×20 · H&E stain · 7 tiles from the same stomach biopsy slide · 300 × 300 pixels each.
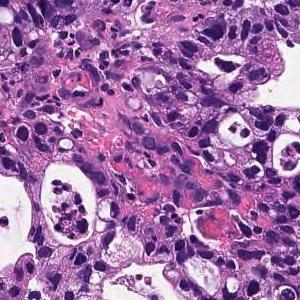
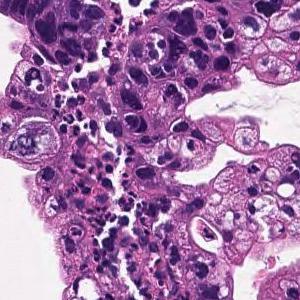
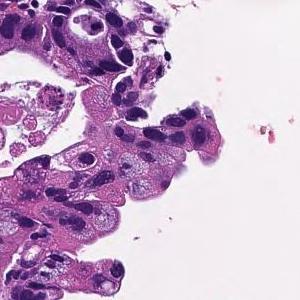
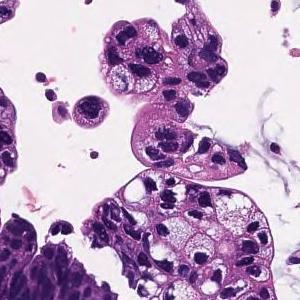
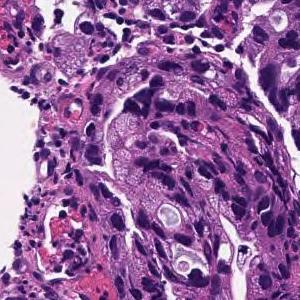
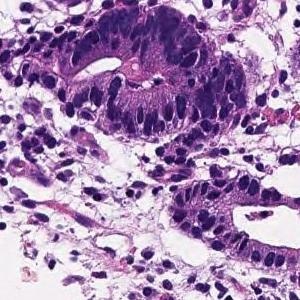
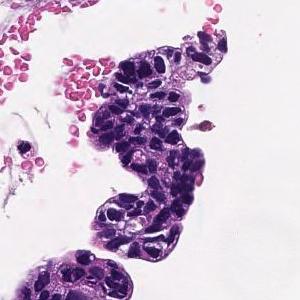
Diagnostic report for the slide these tiles come from. The report describes the whole slide, diagnosis included: not every finding it names need appear in these tiles, which may also show non-tumor tissue.
In the superficial epithelium, tumor tissue that invades by forming medium-sized to small, irregular ducts is observed. moderately differentiated tubular adenocarcinoma.
